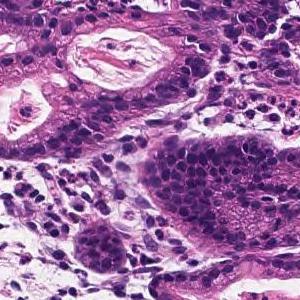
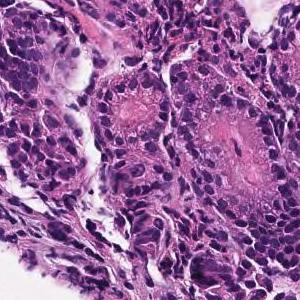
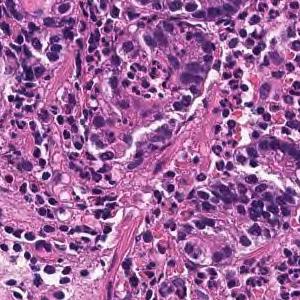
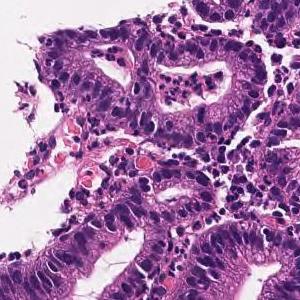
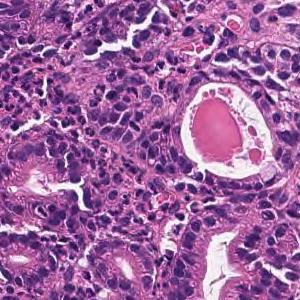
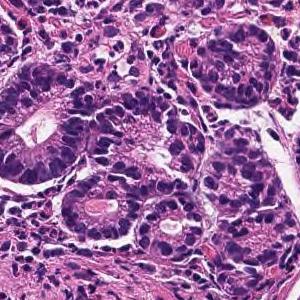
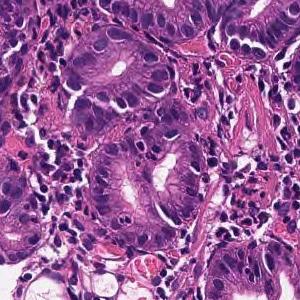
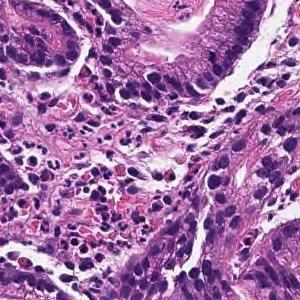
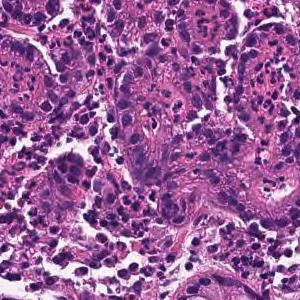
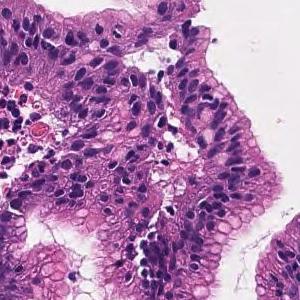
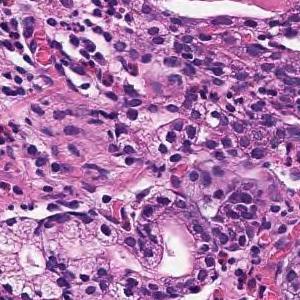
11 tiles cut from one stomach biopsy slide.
Pathology report for the slide these tiles were cut from. The report and the diagnosis cover the entire slide, so not every feature they name need be visible here, and some tissue shown may not be tumor.
Tumor tissue infiltrated and proliferated with small to medium-sized irregular tubules is observed in the superficial epithelium. Well differentiated tubular adenocarcinoma
